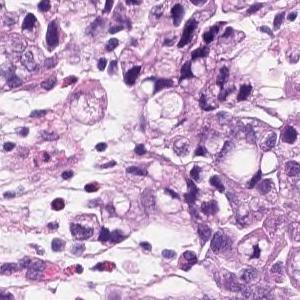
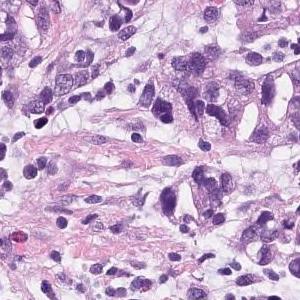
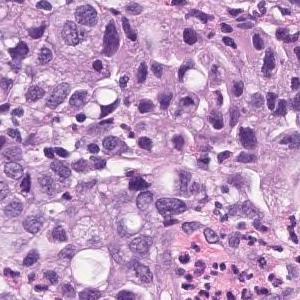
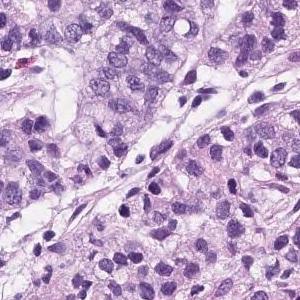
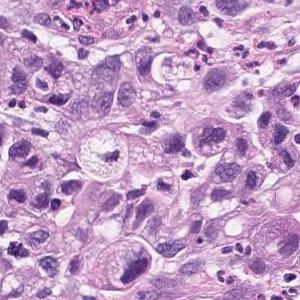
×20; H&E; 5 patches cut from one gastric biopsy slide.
Report on the slide these tiles come from. The findings and the diagnosis refer to the entire slide; these tiles show only part of it, possibly with non-tumor tissue, and may not show every feature named.
Group 5, Adenocarcinoma. Poorly differentiated adenocarcinoma, non-solid type
"Non-solid type" is a category of the Japanese Classification of Gastric Carcinoma.
